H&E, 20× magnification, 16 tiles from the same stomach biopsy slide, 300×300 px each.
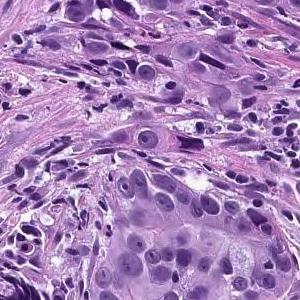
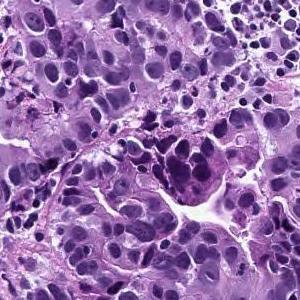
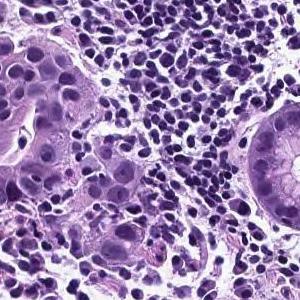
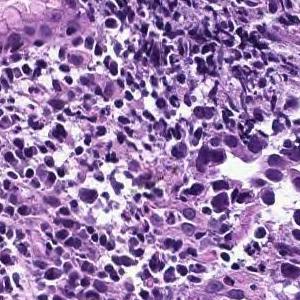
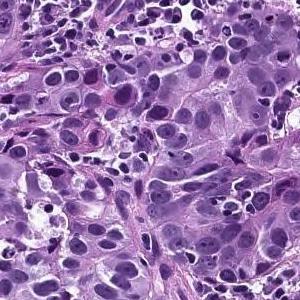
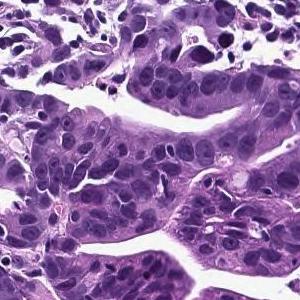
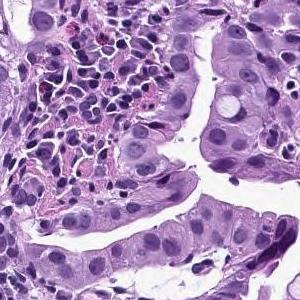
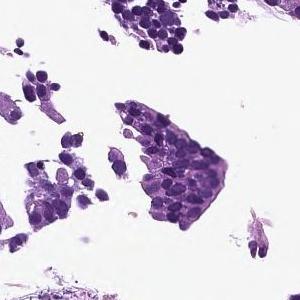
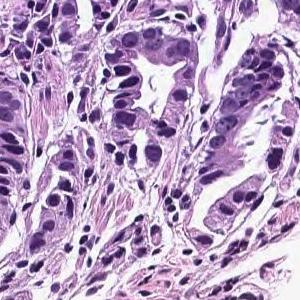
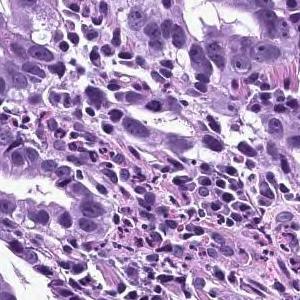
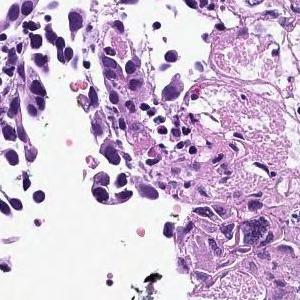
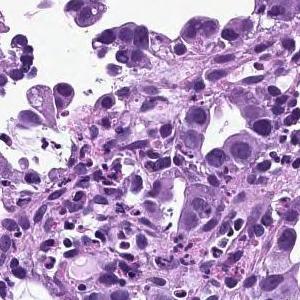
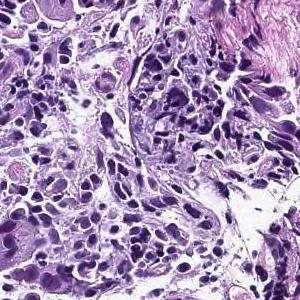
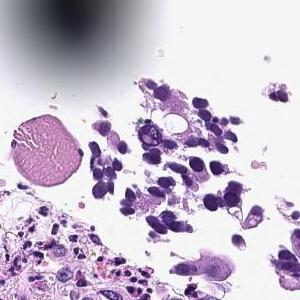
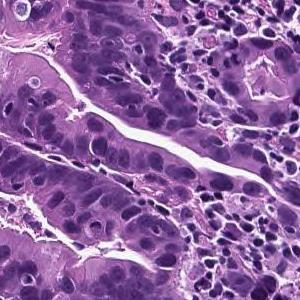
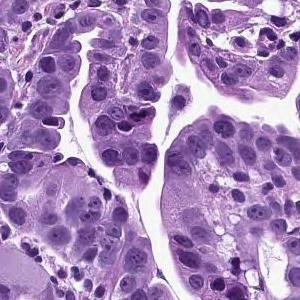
Pathology report for the slide these tiles were cut from. Both the report and the diagnosis are for the whole slide: these tiles need not show every feature named, and some of the tissue shown may not be tumor.
In the superficial epithelium, tumor tissue that invades by forming medium-sized to small, irregular ducts is observed. moderately differentiated tubular adenocarcinoma.
